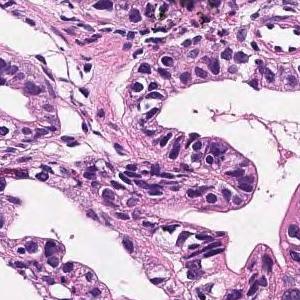
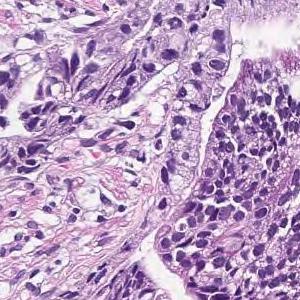
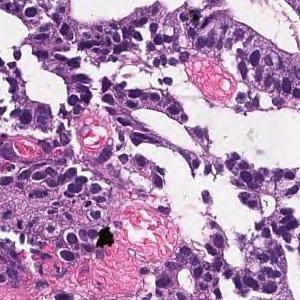
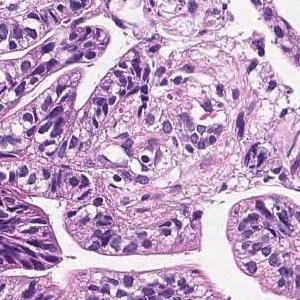
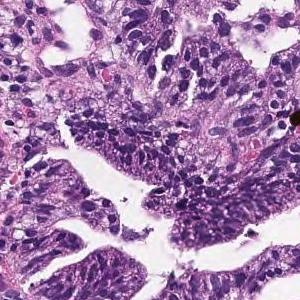
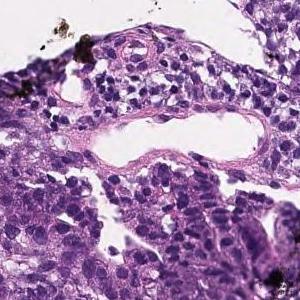
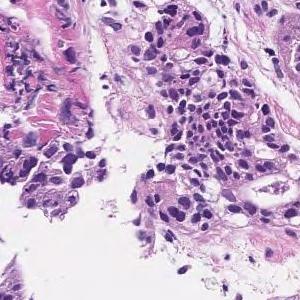
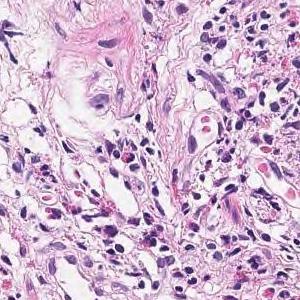
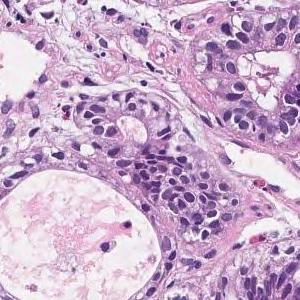
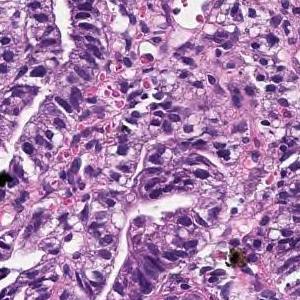
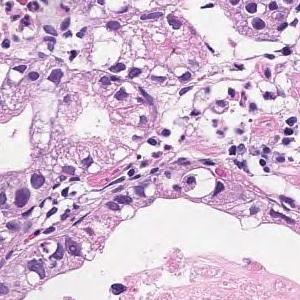
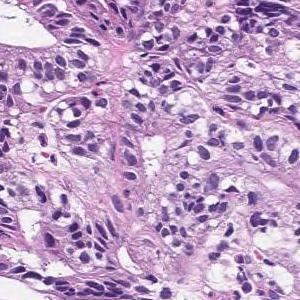
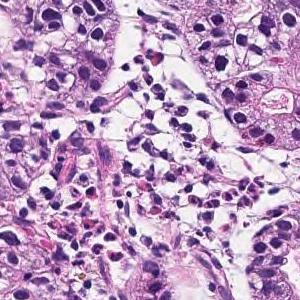
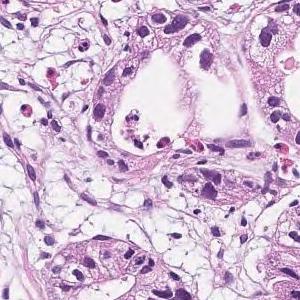
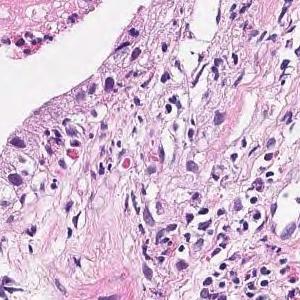
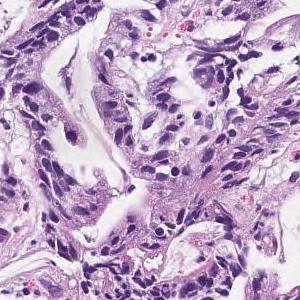
Hematoxylin and eosin stain; 16 tiles cut from one stomach biopsy slide.
The pathologist's report on the biopsy slide these tiles were taken from. The report and the diagnosis describe the slide as a whole, so these tiles may not show every feature named and may include non-tumor tissue.
In the superficial epithelium, tumor tissue that invades by forming medium-sized to small, irregular ducts is observed. Moderately differentiated adenocarcinoma.
Histologic type: Moderately differentiated tubular adenocarcinoma.
